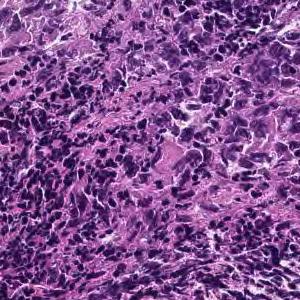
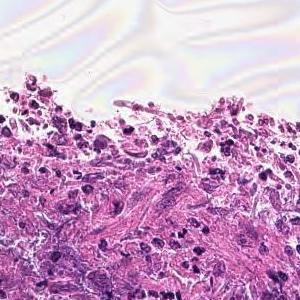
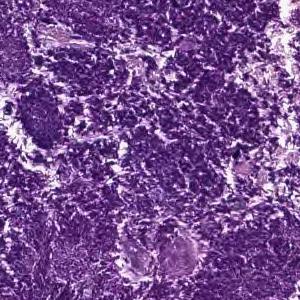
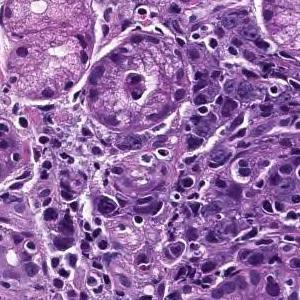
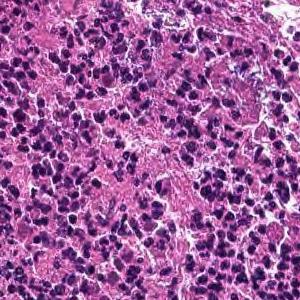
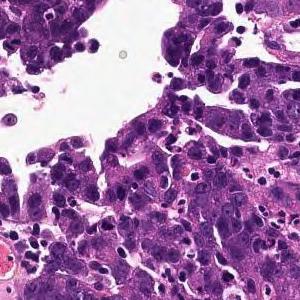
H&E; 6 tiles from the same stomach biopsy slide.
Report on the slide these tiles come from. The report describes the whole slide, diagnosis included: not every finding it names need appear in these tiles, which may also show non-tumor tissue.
Cancers with polygonal nuclei do not show glandular formation and are densely, in part, cord-like and proliferate. Poorly differentiated adenocarcinoma
Subtype: Poorly differentiated adenocarcinoma, non-solid type.
The non-solid type named here is a Japanese Classification of Gastric Carcinoma category.
